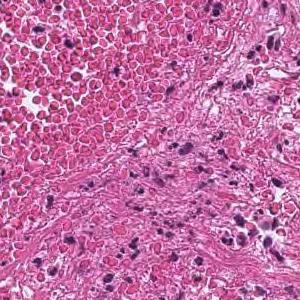
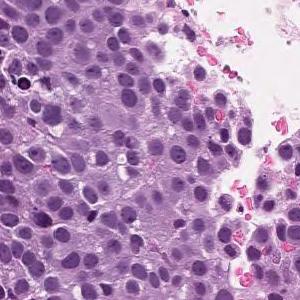
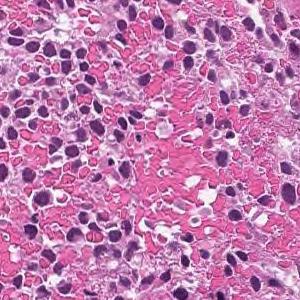
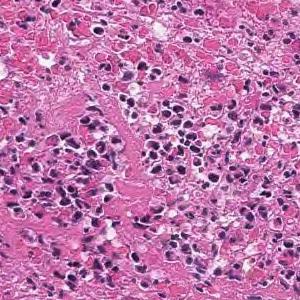
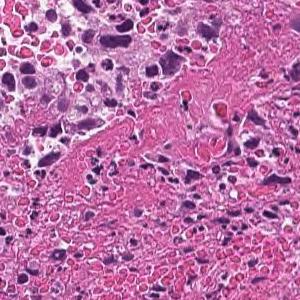
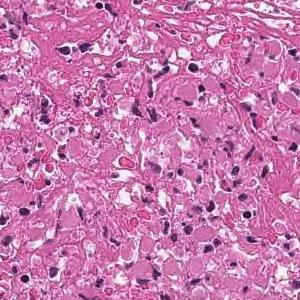
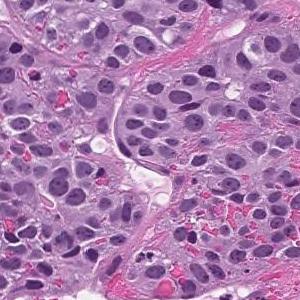
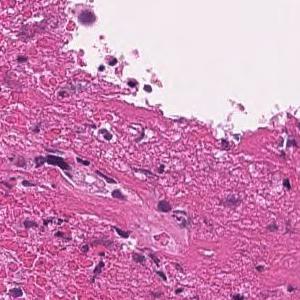
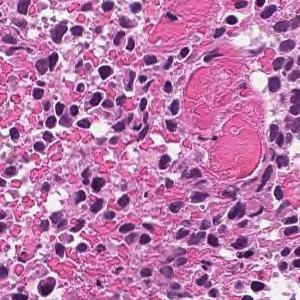
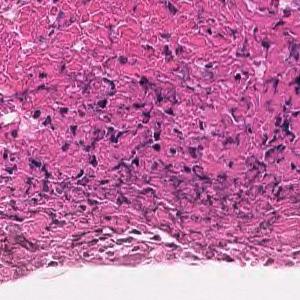
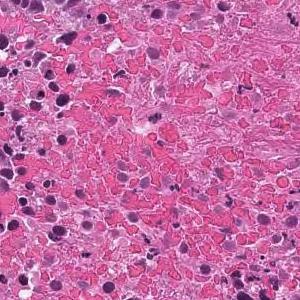
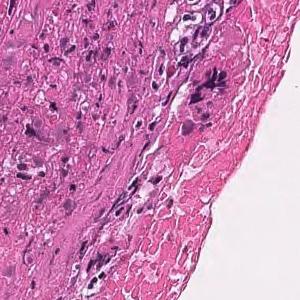
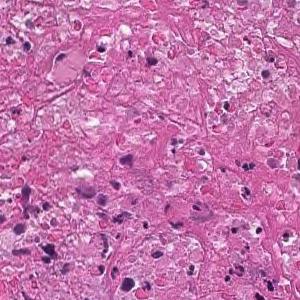
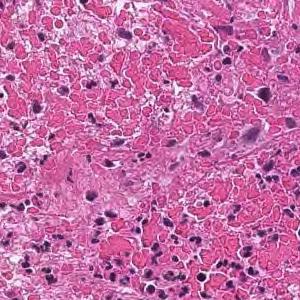
H&E · scanned at ×20 · 14 image tiles from a single gastric biopsy slide.
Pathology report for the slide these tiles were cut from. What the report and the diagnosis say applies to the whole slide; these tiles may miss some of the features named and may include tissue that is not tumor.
The superficial epithelium shows a large sheet-like shape, and some tumor tissue infiltrates with small irregular ducts. Poorly differentiated adenocarcinoma, solid-type
Tumor subtype: poorly differentiated adenocarcinoma, solid type, a category of the Japanese Classification of Gastric Carcinoma; in the WHO 2019 classification it is tubular adenocarcinoma, poorly differentiated.
